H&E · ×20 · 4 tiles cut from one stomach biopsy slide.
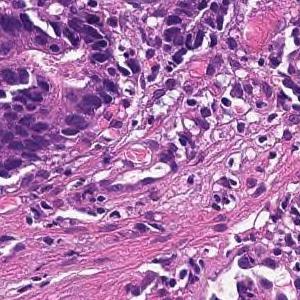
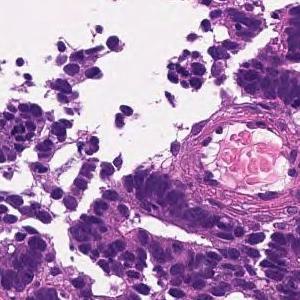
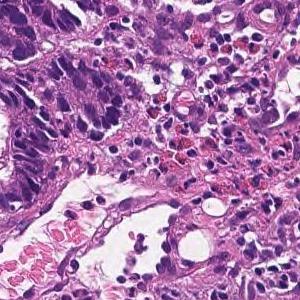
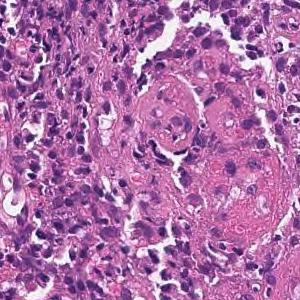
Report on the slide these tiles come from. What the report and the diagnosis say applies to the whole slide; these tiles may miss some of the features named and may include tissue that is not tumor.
In the superficial epithelium, tumor tissue that invades by forming medium-sized to small, irregular ducts is observed. Moderately differentiated adenocarcinoma (moderately differentiated tubular adenocarcinoma).
Tumor subtype: moderately differentiated tubular adenocarcinoma.
